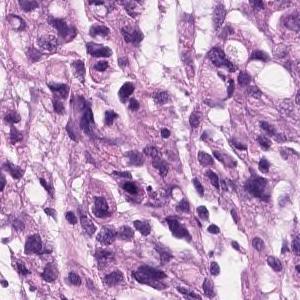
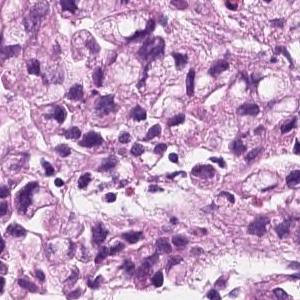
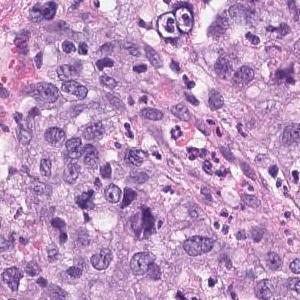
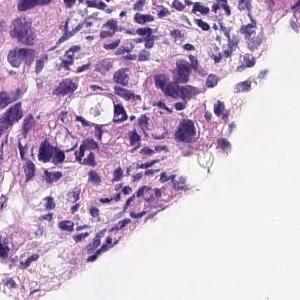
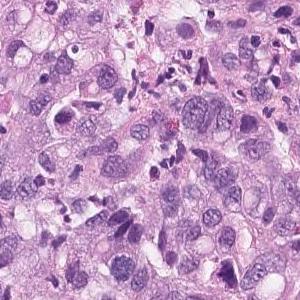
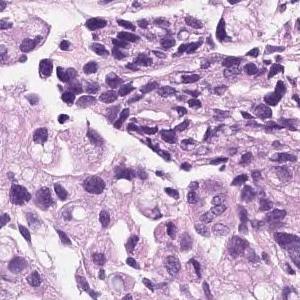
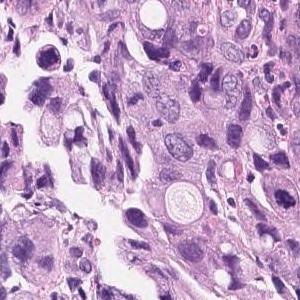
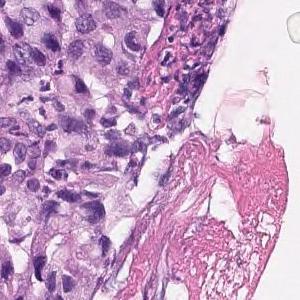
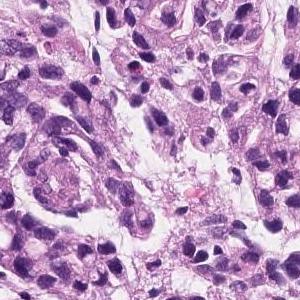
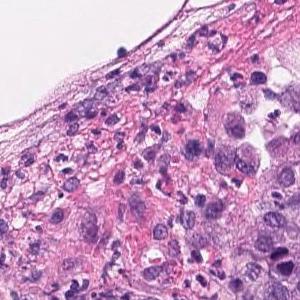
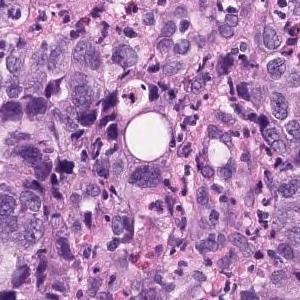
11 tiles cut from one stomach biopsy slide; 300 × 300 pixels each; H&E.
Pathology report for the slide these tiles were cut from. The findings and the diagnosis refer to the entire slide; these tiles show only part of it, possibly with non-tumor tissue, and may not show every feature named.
Group 5, Adenocarcinoma. Poorly differentiated adenocarcinoma, non-solid type
"Non-solid type" is a category of the Japanese Classification of Gastric Carcinoma.
